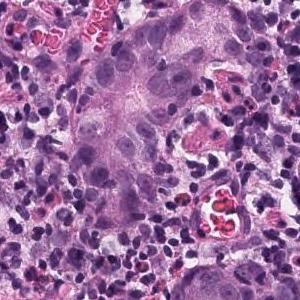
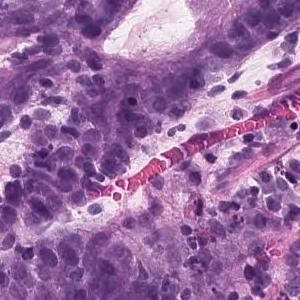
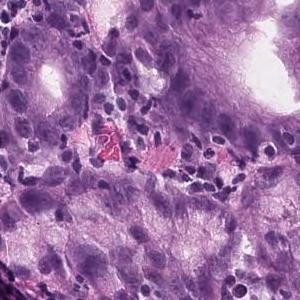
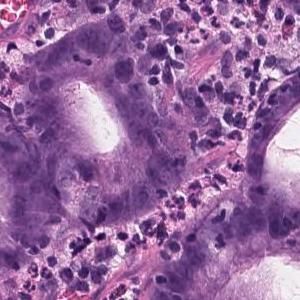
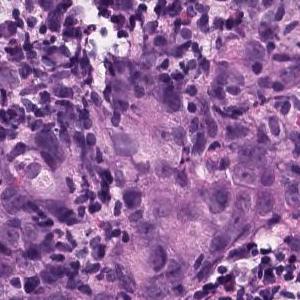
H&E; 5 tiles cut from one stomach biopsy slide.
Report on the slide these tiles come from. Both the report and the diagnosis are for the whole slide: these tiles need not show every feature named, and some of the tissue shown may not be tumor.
In the superficial epithelium, tumor tissue that invades by forming medium-sized to small, irregular ducts is observed. Moderately differentiated adenocarcinoma.
Tumor subtype: moderately differentiated tubular adenocarcinoma.
